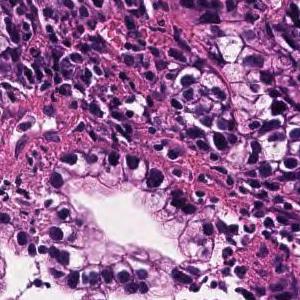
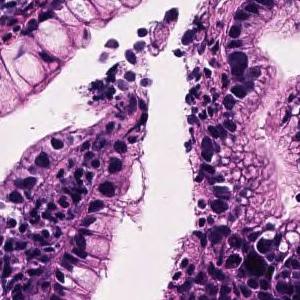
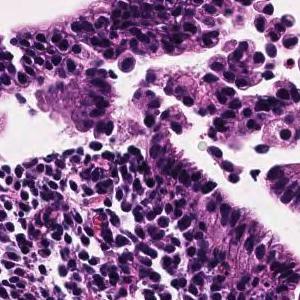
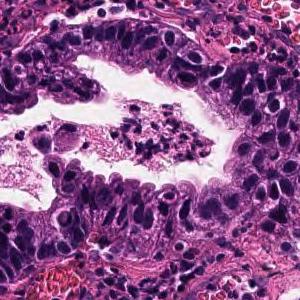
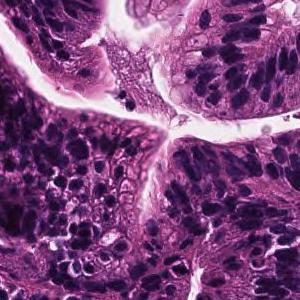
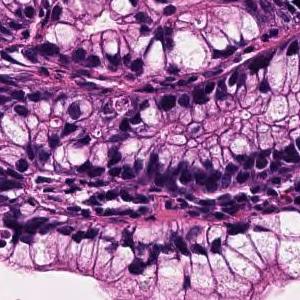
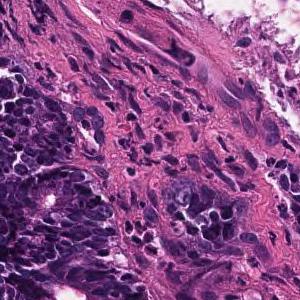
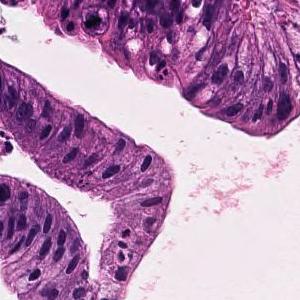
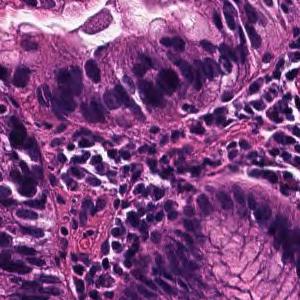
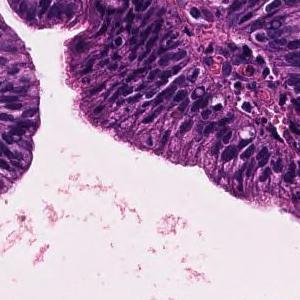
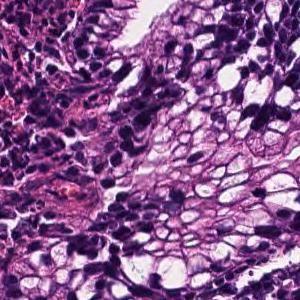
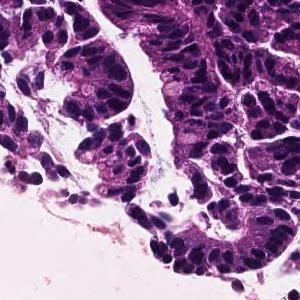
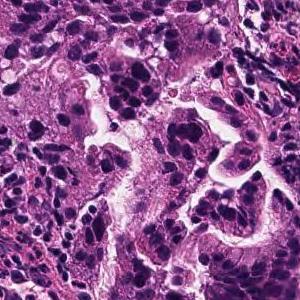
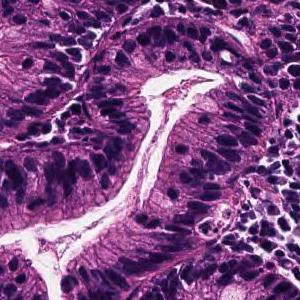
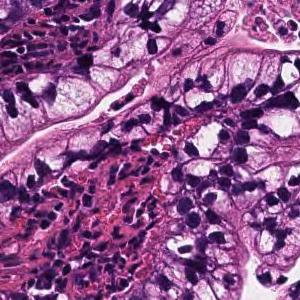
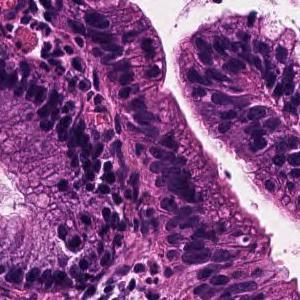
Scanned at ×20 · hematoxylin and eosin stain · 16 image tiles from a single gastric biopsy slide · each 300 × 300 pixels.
Diagnostic report for the slide these tiles come from. What the report and the diagnosis say applies to the whole slide; these tiles may miss some of the features named and may include tissue that is not tumor.
Tumor cells are large, highly columnar, large club-shaped nuclei, and are associated with chromatin aggregation. Papillary adenocarcinoma.
